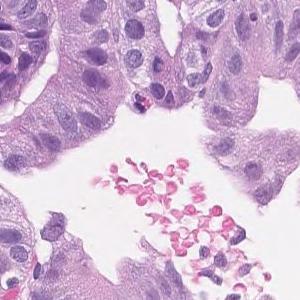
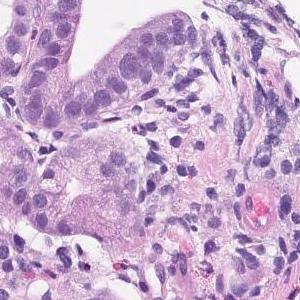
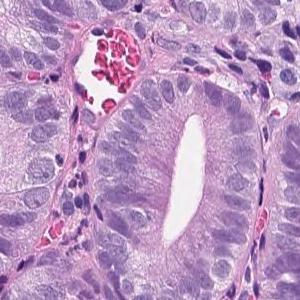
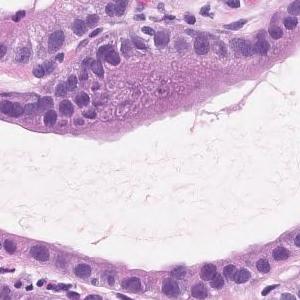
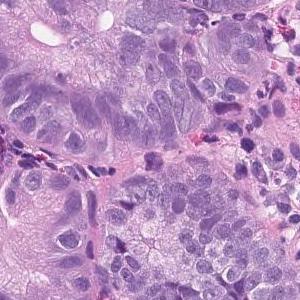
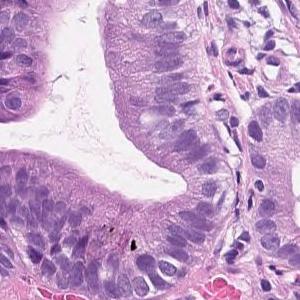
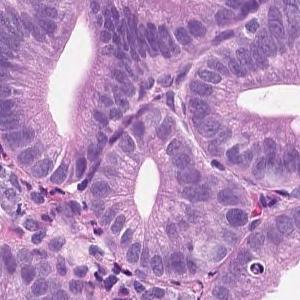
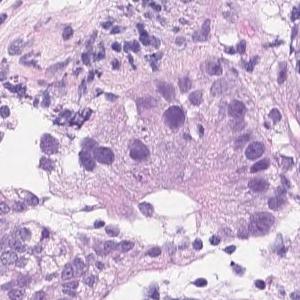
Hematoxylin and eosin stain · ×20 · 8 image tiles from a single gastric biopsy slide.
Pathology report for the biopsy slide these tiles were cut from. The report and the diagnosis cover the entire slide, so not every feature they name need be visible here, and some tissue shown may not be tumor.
Tumor tissue consisting of medium-sized and irregular ducts is observed infiltrating in the superficial epithelium. Tumor cells are highly columnar, with nuclei aligned basolaterally and polarized. Well differentiated tubular adenocarcinoma.
